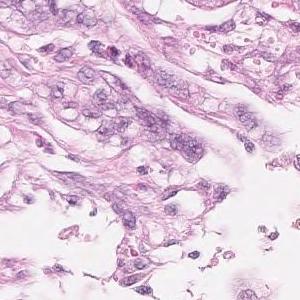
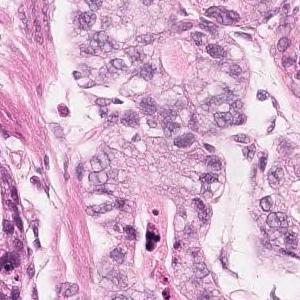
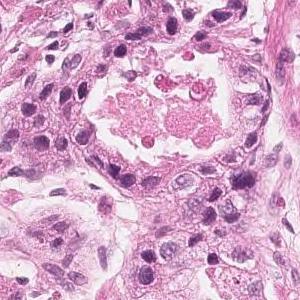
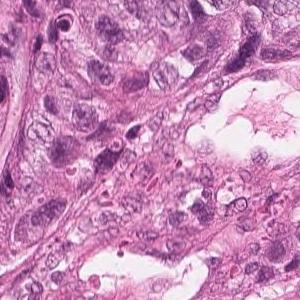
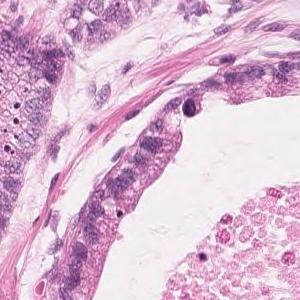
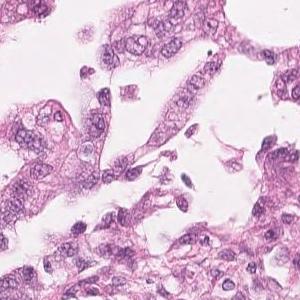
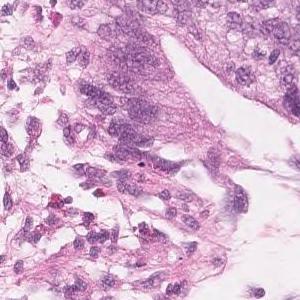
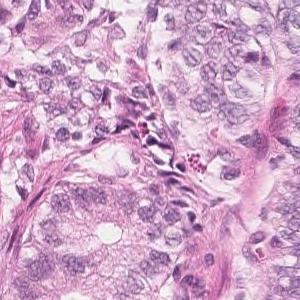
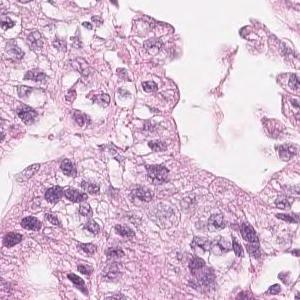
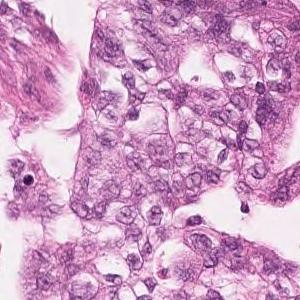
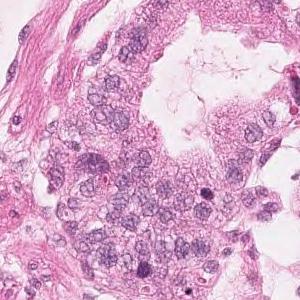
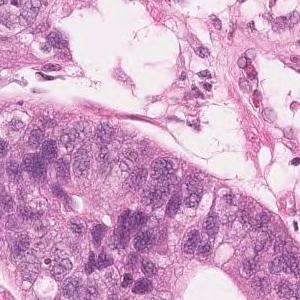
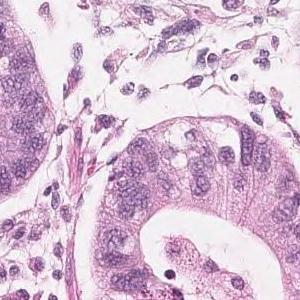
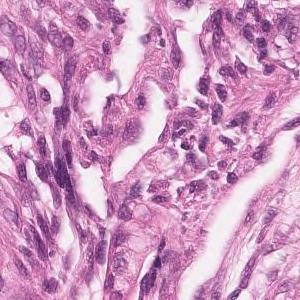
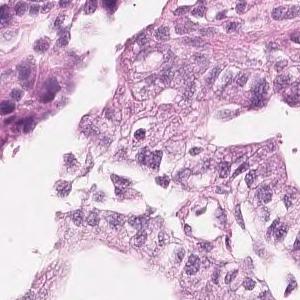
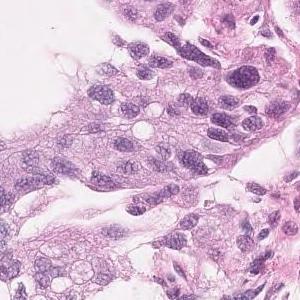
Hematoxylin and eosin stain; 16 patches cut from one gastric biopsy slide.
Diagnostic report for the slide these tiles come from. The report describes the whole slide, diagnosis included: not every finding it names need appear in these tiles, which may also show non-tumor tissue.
Highly columnar epithelium with disordered nuclear localization proliferates showing fusion ductal construction. moderately differentiated tubular adenocarcinoma
